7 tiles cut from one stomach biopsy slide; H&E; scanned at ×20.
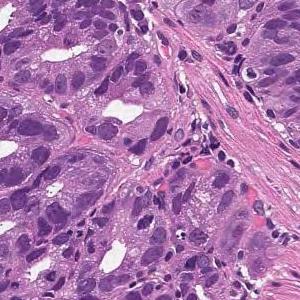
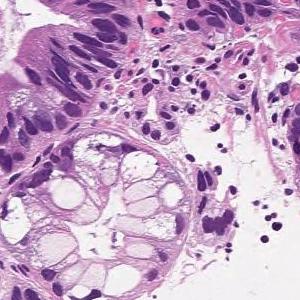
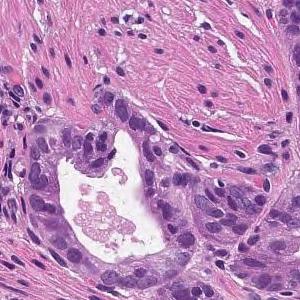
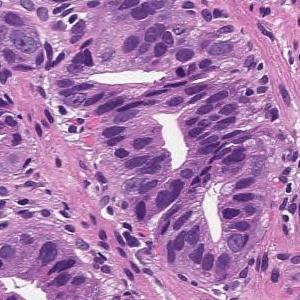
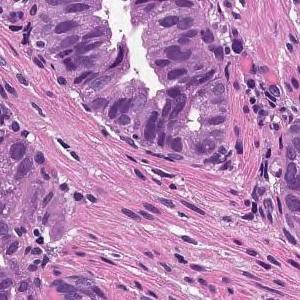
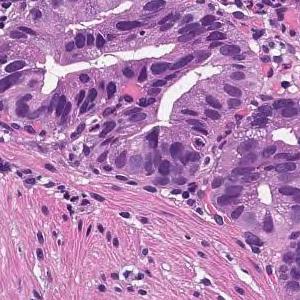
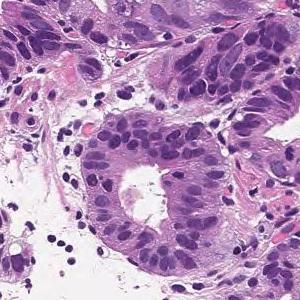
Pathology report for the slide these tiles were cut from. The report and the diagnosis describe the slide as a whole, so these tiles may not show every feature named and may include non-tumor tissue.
On the superficial epithelium, tumor tissue consisting of large irregular glandular ducts partially fused and infiltrated is observed. Well to moderately differentiated tubular adenocarcinoma (well differentiated tubular adenocarcinoma, moderately differentiated tubular adenocarcinoma)
Subtype: Well to moderately differentiated tubular adenocarcinoma.
